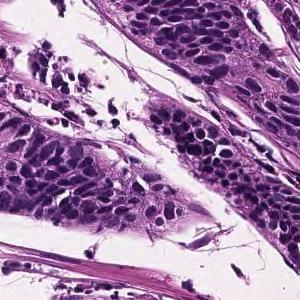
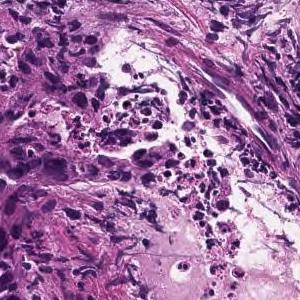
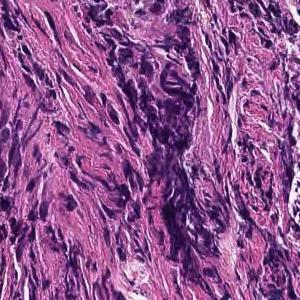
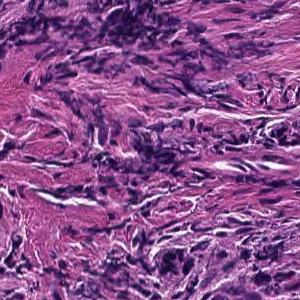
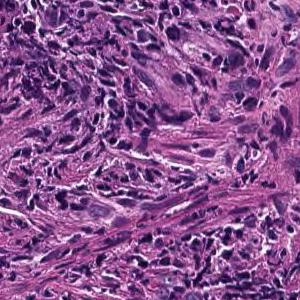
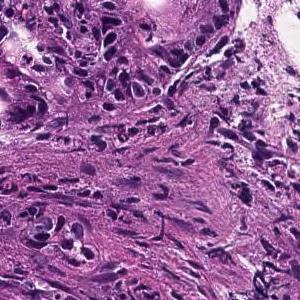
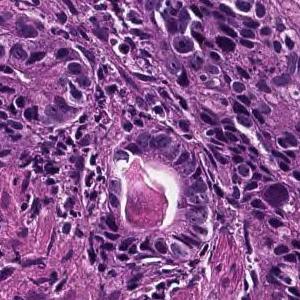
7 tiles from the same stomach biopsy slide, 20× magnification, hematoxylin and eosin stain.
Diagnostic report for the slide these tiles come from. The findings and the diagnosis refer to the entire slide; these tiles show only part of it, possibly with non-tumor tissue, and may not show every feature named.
On the superficial epithelium, tumor tissue consisting of large, irregular glandular ducts partially fused and infiltrated is observed. Well to moderately differentiated tubular adenocarcinoma (well differentiated tubular adenocarcinoma, moderately differentiated tubular adenocarcinoma)
Subtype: Well to moderately differentiated tubular adenocarcinoma.
